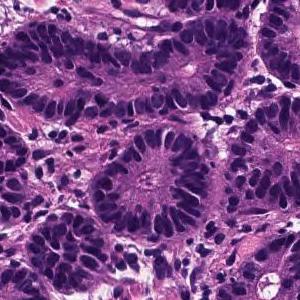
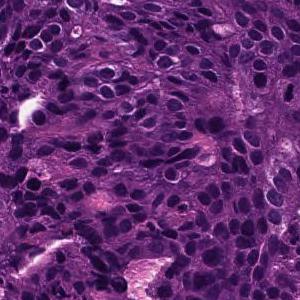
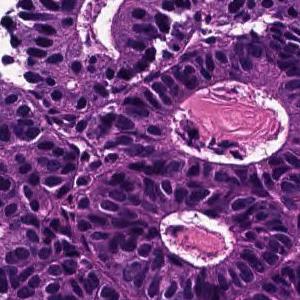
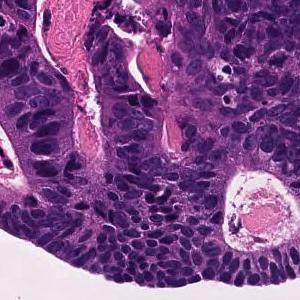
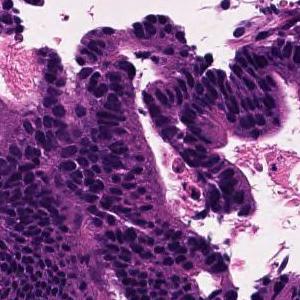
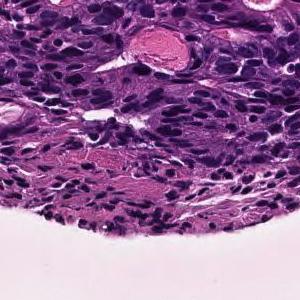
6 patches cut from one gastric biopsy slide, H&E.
Report on the slide these tiles come from. The report and the diagnosis cover the entire slide, so not every feature they name need be visible here, and some tissue shown may not be tumor.
In the superficial epithelium, tumor tissue that invades by forming medium-sized to small, irregular ducts is observed. moderately differentiated tubular adenocarcinoma.
